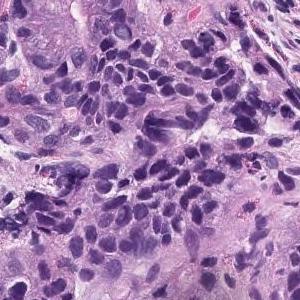
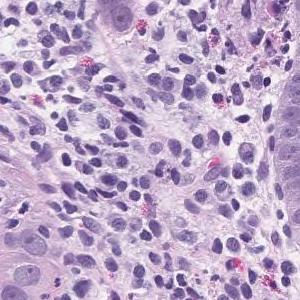
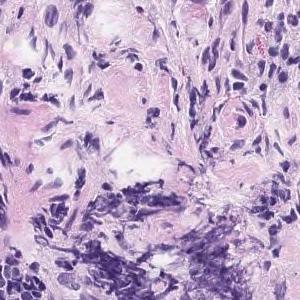
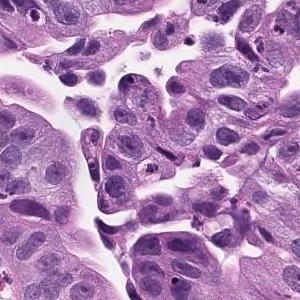
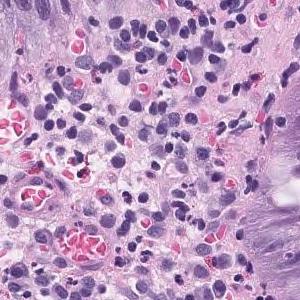
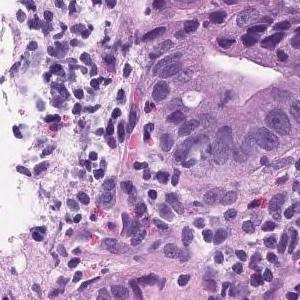
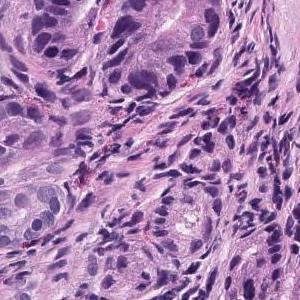
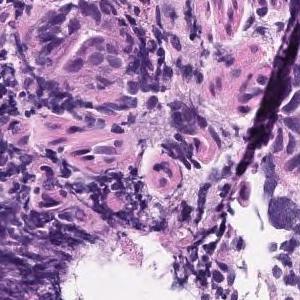
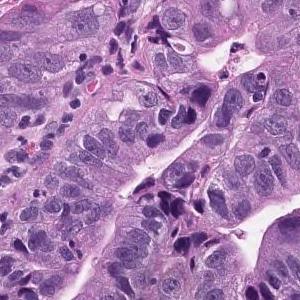
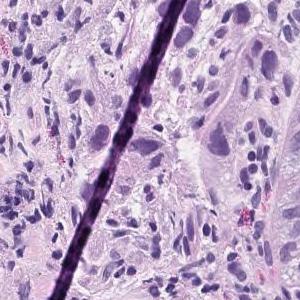
Hematoxylin and eosin stain · 10 tiles from the same stomach biopsy slide · 300 × 300 pixels each.
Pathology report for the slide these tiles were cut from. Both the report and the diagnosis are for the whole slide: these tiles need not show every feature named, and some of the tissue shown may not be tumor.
Atypical epithelium replaces superficial epithelium or localized ducts, or grows while forming irregular ducts. Well differentiated tubular adenocarcinoma
